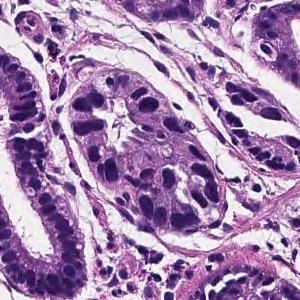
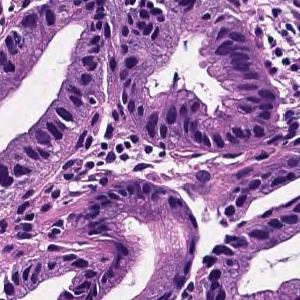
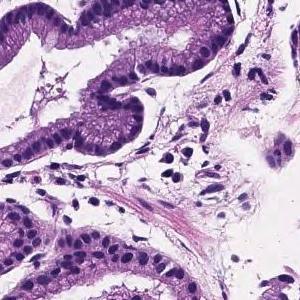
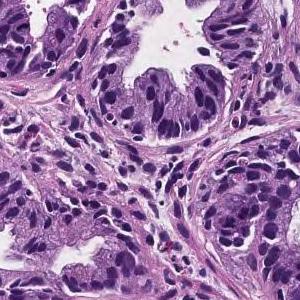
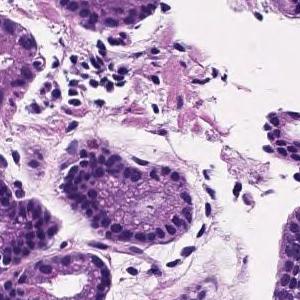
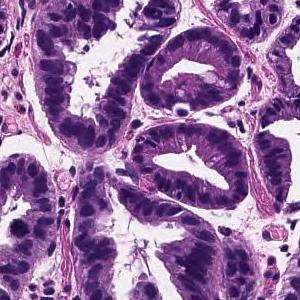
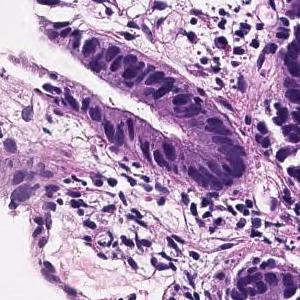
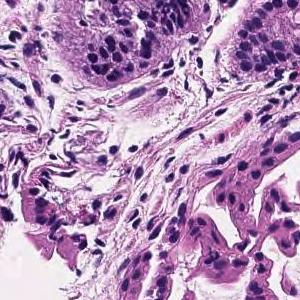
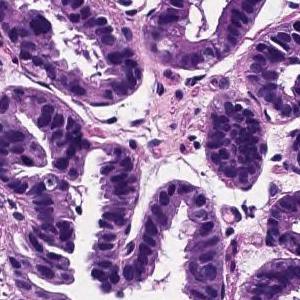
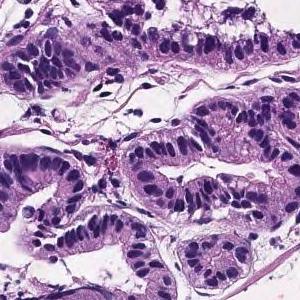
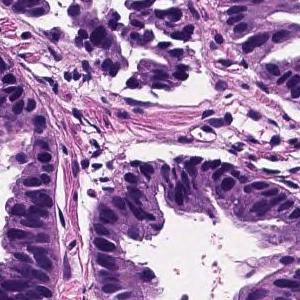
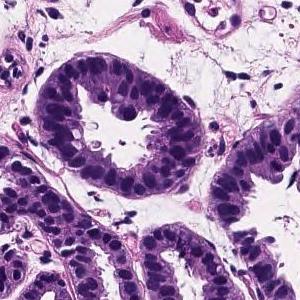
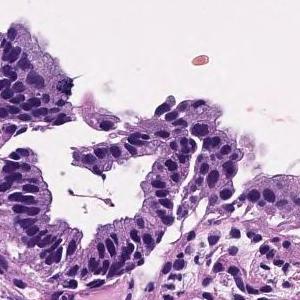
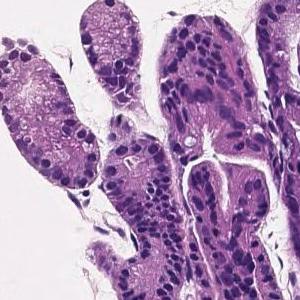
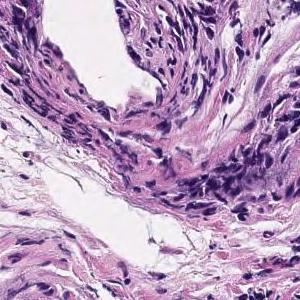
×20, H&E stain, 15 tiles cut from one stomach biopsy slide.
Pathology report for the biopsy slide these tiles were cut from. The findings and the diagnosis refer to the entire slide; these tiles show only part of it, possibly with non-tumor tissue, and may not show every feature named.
Tumor cells are large, highly columnar, large club-shaped nuclei, and are associated with chromatin aggregation. Papillary adenocarcinoma.
